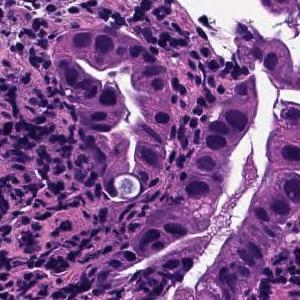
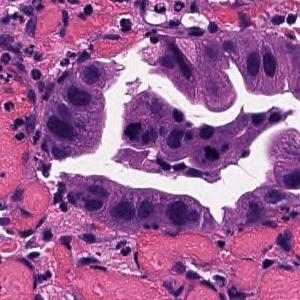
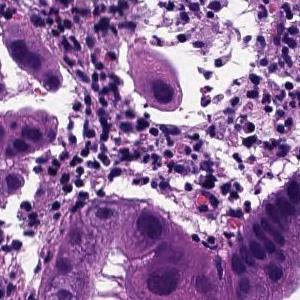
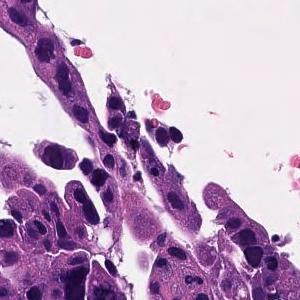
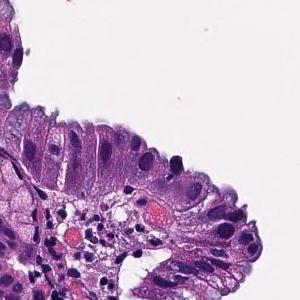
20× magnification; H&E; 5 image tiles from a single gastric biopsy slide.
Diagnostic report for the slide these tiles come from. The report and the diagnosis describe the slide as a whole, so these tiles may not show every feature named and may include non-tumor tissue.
Tumor tissue consisting of large papillary structures is found in the superficial epithelium. Papillary adenocarcinoma.
